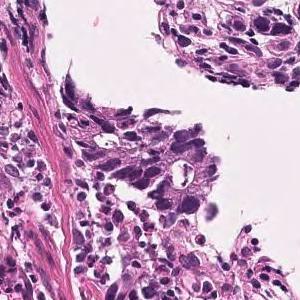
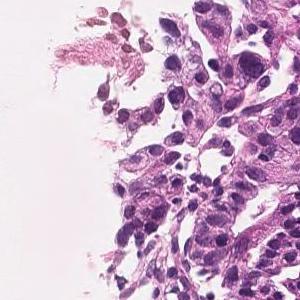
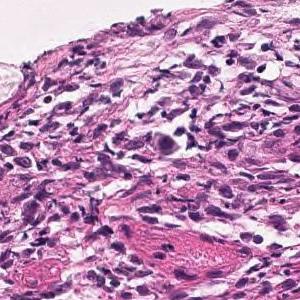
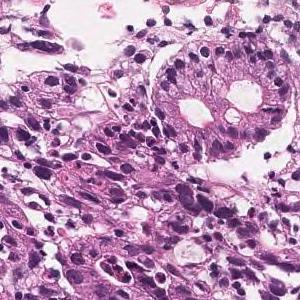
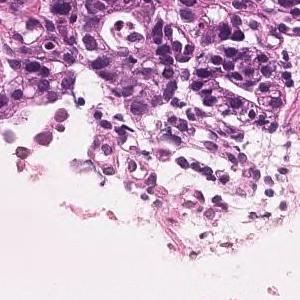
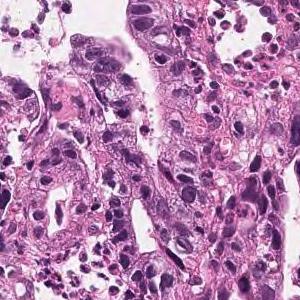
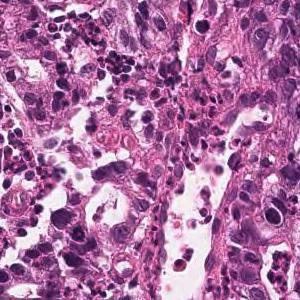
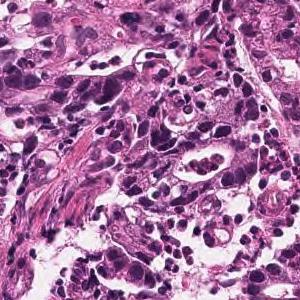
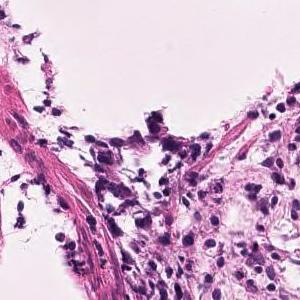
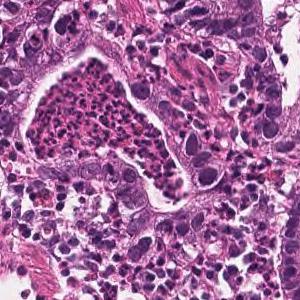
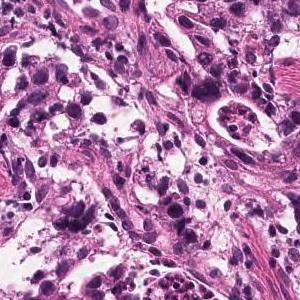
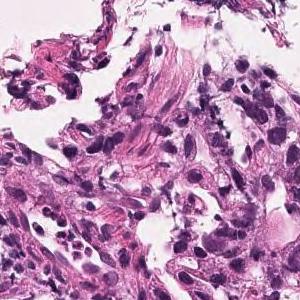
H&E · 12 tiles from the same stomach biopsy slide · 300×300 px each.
Diagnostic report for the slide these tiles come from. What the report and the diagnosis say applies to the whole slide; these tiles may miss some of the features named and may include tissue that is not tumor.
In the superficial epithelium, tumor tissue that invades by forming medium-sized to small, irregular ducts is observed. Moderately differentiated adenocarcinoma.
Classified as moderately differentiated tubular adenocarcinoma.
